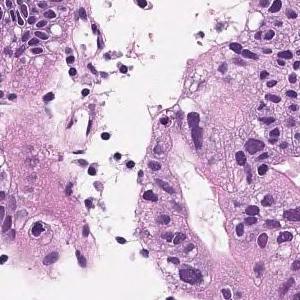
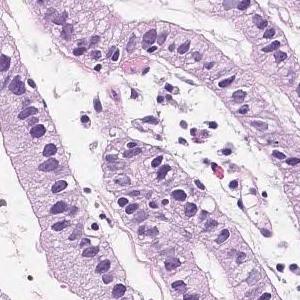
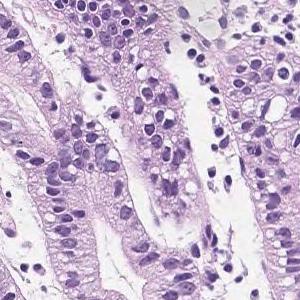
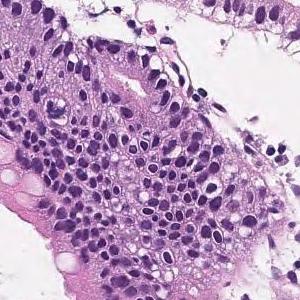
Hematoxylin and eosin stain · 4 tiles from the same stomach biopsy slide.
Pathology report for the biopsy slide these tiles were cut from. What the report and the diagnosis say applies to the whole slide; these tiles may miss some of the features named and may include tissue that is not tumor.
On the superficial epithelium, tumor tissue that infiltrates by forming medium-sized papillary or small irregular ducts is observed. Papillary adenocarcinoma
